H&E stain; scanned at ×20; 14 patches cut from one gastric biopsy slide; 300 × 300 pixels each.
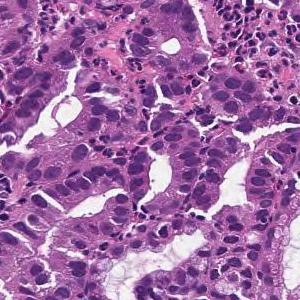
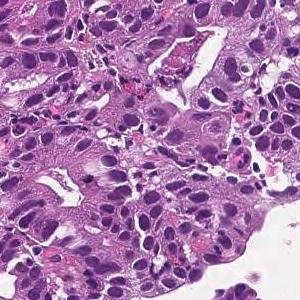
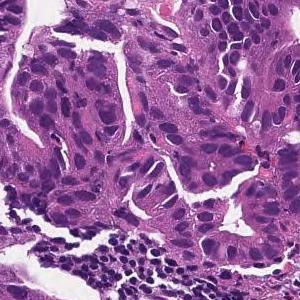
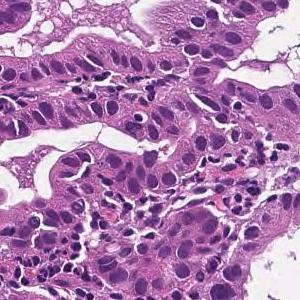
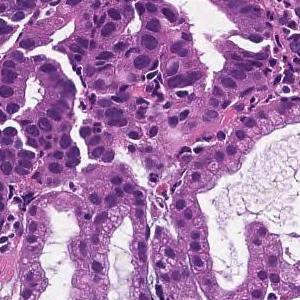
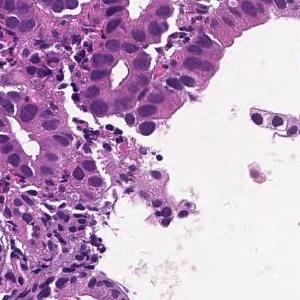
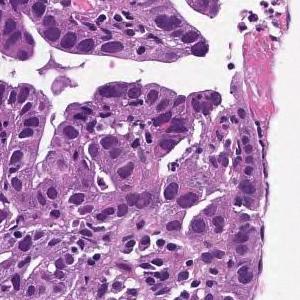
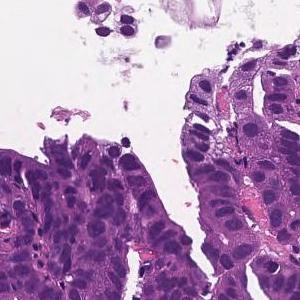
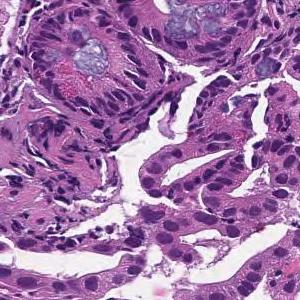
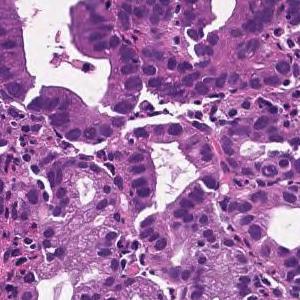
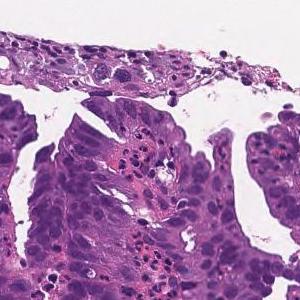
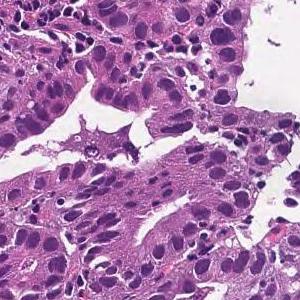
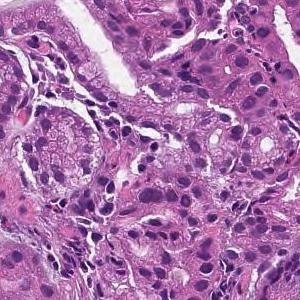
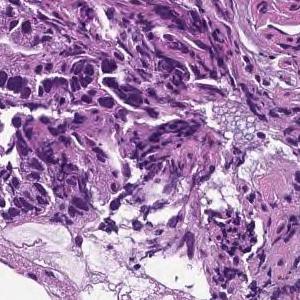
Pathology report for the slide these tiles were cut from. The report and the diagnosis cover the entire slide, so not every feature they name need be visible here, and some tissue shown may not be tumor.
From the superficial epithelium to the muscularis mucosae, tumor tissue consisting of medium-sized and irregular glandular ducts infiltrating is observed. Well differentiated tubular adenocarcinoma
